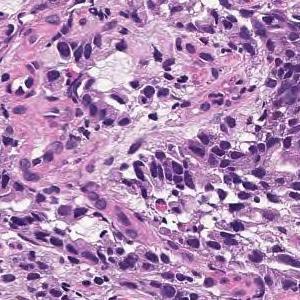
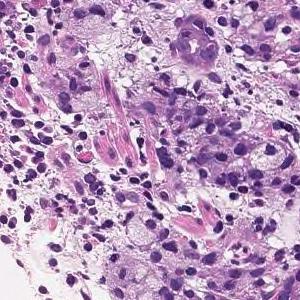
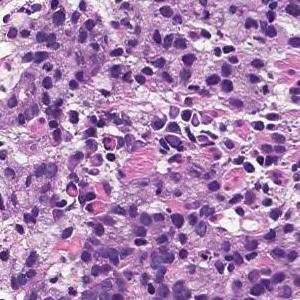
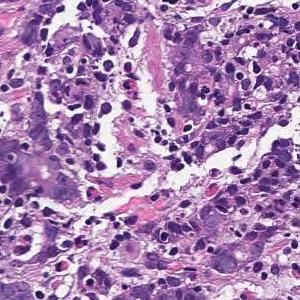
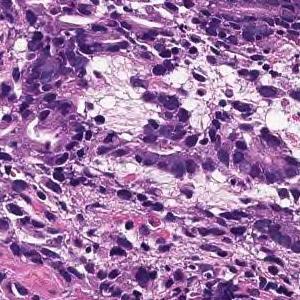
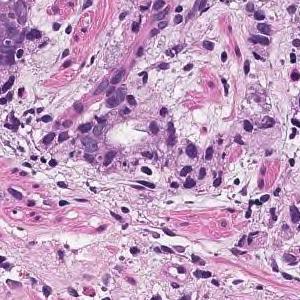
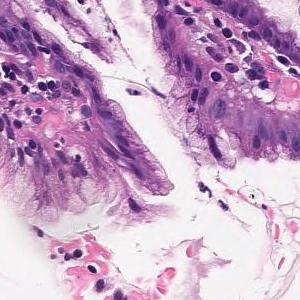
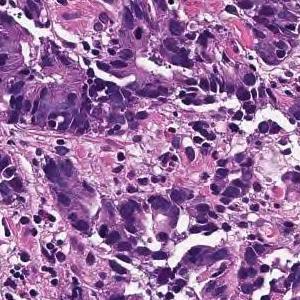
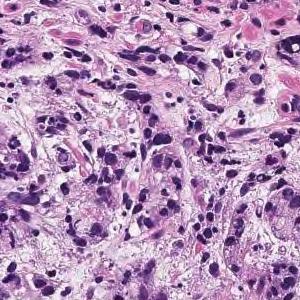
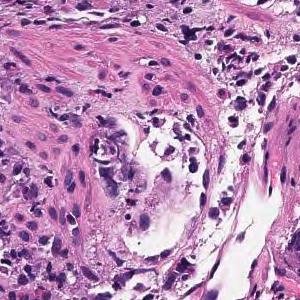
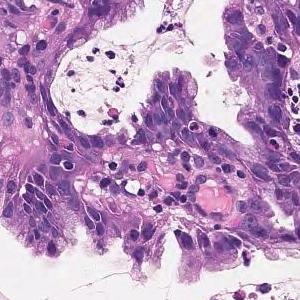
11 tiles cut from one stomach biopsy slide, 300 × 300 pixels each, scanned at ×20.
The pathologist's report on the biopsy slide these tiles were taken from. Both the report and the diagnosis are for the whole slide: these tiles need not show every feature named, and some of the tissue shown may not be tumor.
Tumor tissue consisting of cord-like or small, irregular glandular ducts fused and infiltrated is observed in the superficial epithelium. Poorly differentiated adenocarcinoma, non-solid type
The non-solid type named here is a Japanese Classification of Gastric Carcinoma category.
